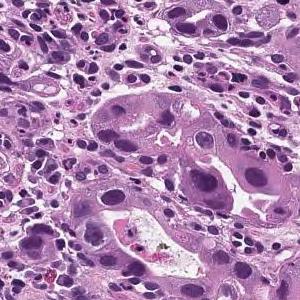
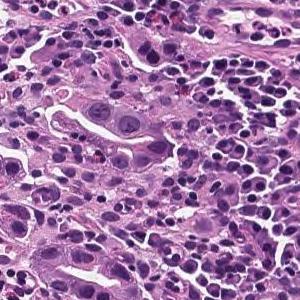
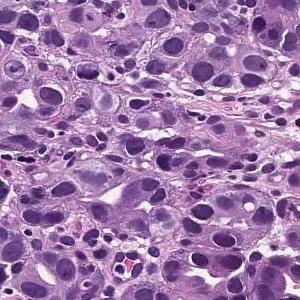
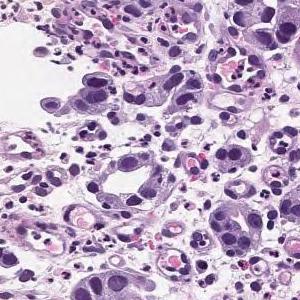
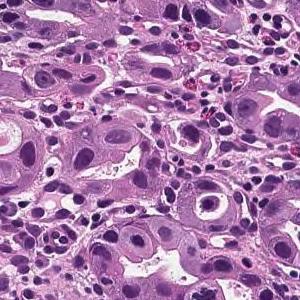
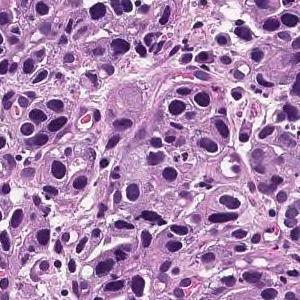
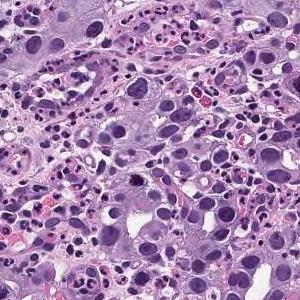
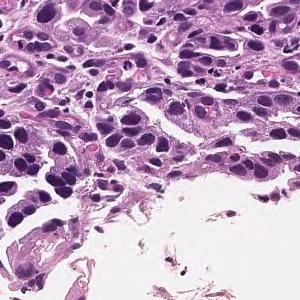
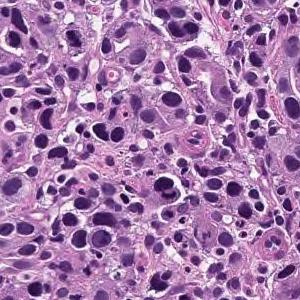
H&E · 20× magnification · 9 image tiles from a single gastric biopsy slide.
Report on the slide these tiles come from. The report describes the whole slide, diagnosis included: not every finding it names need appear in these tiles, which may also show non-tumor tissue.
The superficial epithelium shows a large sheet or alveolar shape, and tumor tissue infiltrating without irregular ducts is observed. Poorly differentiated adenocarcinoma, solid-type
Tumor subtype: poorly differentiated adenocarcinoma, solid type. This name comes from the Japanese Classification of Gastric Carcinoma; the WHO 2019 classification calls it tubular adenocarcinoma, poorly differentiated.
